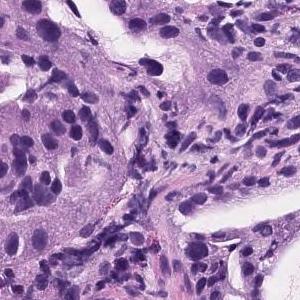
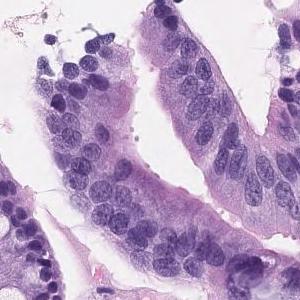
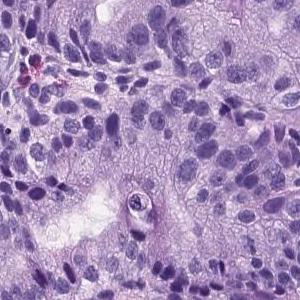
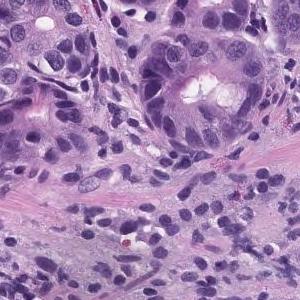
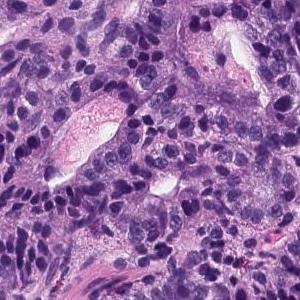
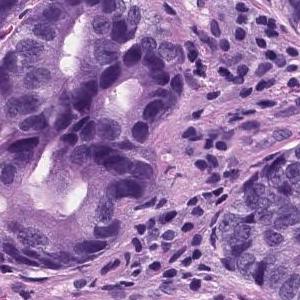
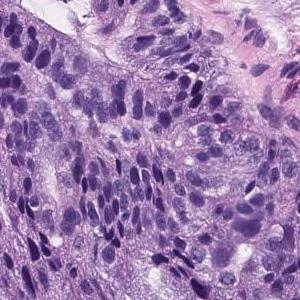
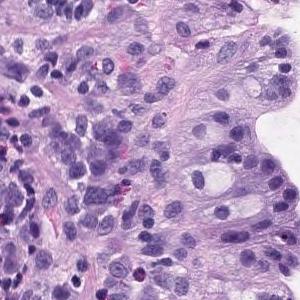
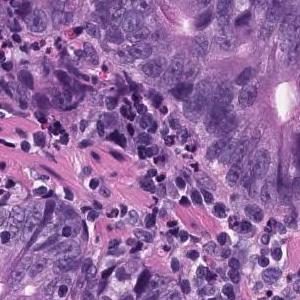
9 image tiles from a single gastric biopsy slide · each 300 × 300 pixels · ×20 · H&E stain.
Diagnostic report for the slide these tiles come from. The report and the diagnosis describe the slide as a whole, so these tiles may not show every feature named and may include non-tumor tissue.
Tumor tissue consisting of medium-sized and irregular ducts is observed infiltrating in the superficial epithelium. Tumor cells are highly columnar, with nuclei aligned basolaterally and polarized. Well differentiated tubular adenocarcinoma.
